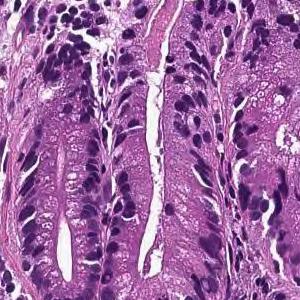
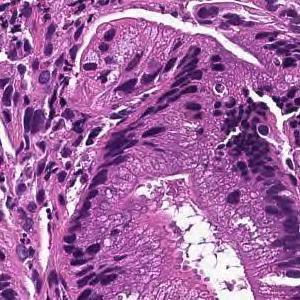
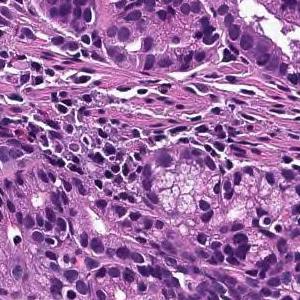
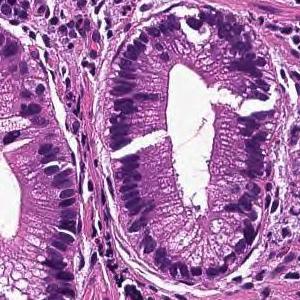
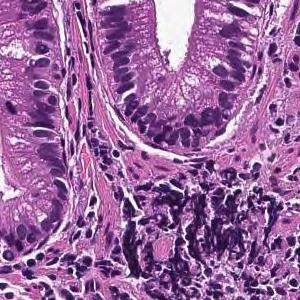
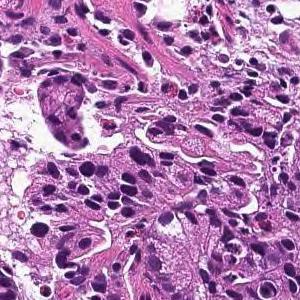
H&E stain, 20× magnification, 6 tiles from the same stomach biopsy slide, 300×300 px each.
The pathologist's report on the biopsy slide these tiles were taken from. The report and the diagnosis describe the slide as a whole, so these tiles may not show every feature named and may include non-tumor tissue.
Tumor cells are large, highly columnar, large club-shaped nuclei, and are associated with chromatin aggregation. Papillary adenocarcinoma.
